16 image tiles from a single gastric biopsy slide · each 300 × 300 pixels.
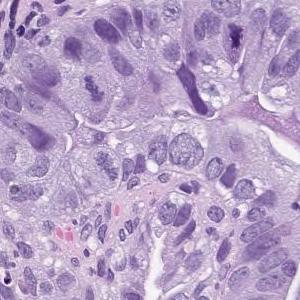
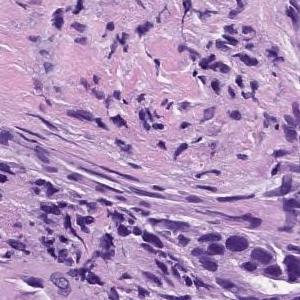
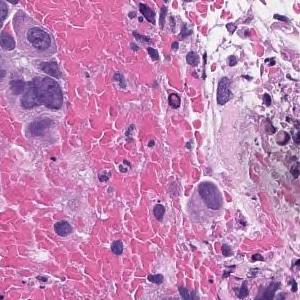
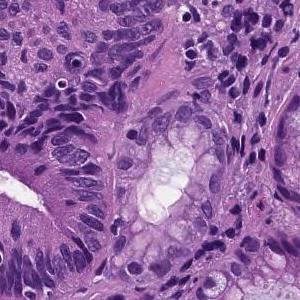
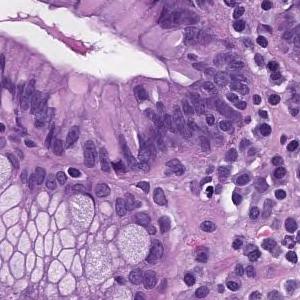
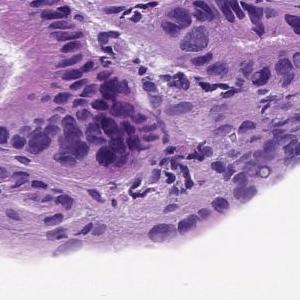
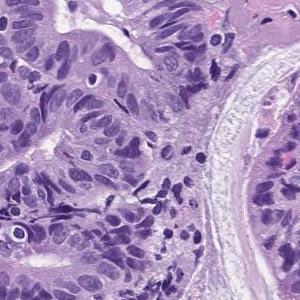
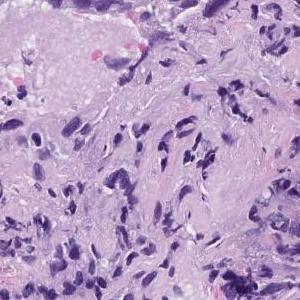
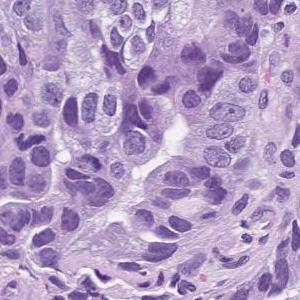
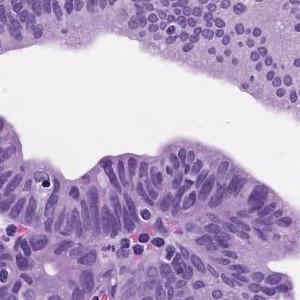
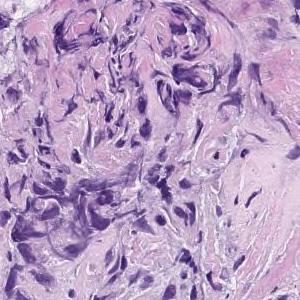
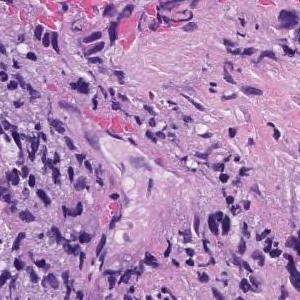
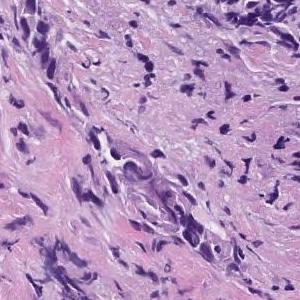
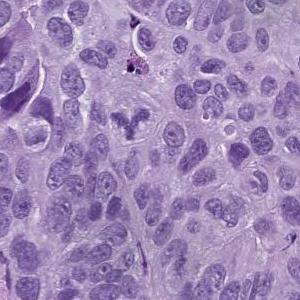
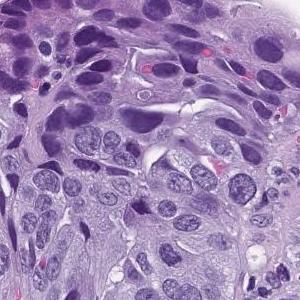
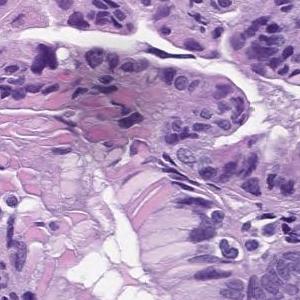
The pathologist's report on the biopsy slide these tiles were taken from. The report and the diagnosis describe the slide as a whole, so these tiles may not show every feature named and may include non-tumor tissue.
In the superficial epithelium, tumor tissue that invades by forming medium-sized to small, irregular ducts is observed. moderately differentiated tubular adenocarcinoma.
